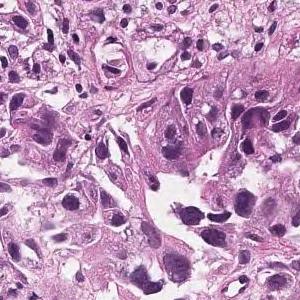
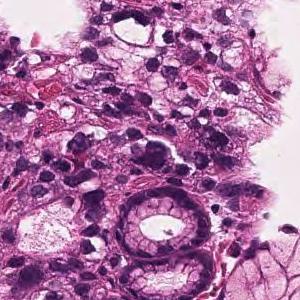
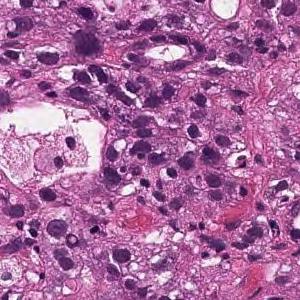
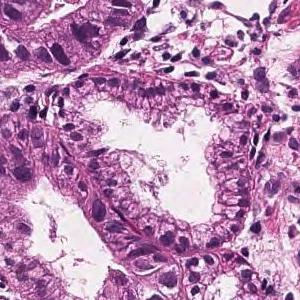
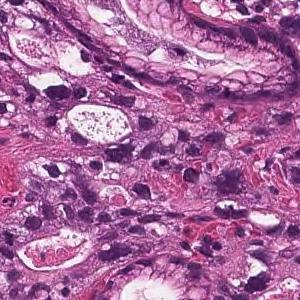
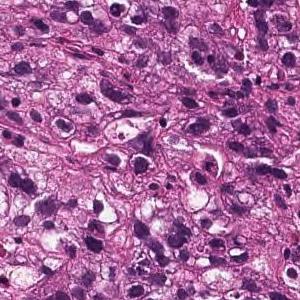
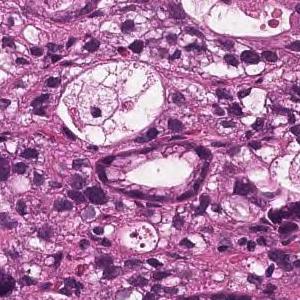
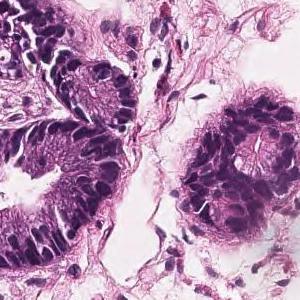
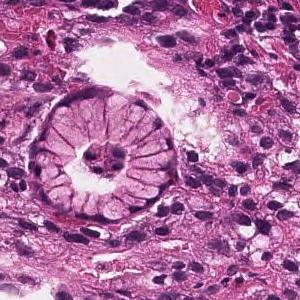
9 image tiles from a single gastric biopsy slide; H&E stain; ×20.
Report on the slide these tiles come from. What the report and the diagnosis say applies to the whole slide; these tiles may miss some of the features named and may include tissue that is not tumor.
Medium to small, irregular glandular ducts are formed in the superficial epithelium, and in some cases, the glandular ducts are fused to show solid alveolar lesions and infiltrating tumor tissue is observed. Moderately to poorly differentiated adenocarcinoma.
